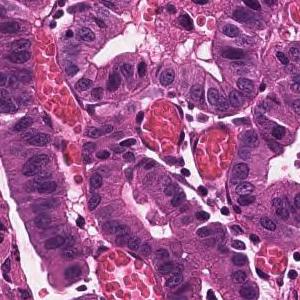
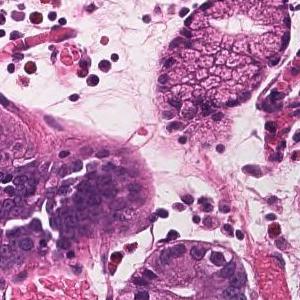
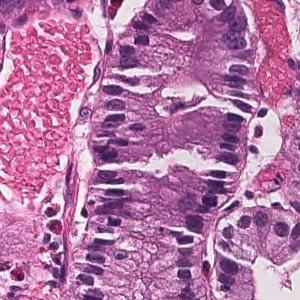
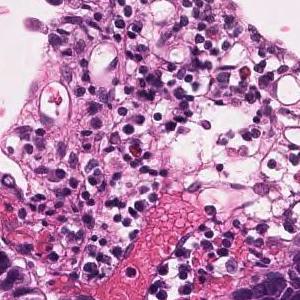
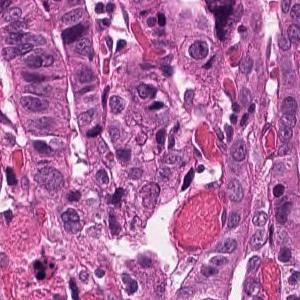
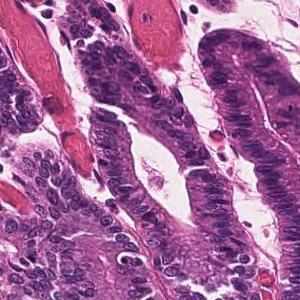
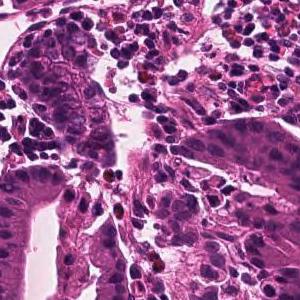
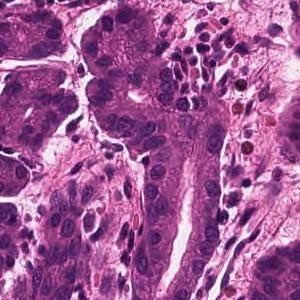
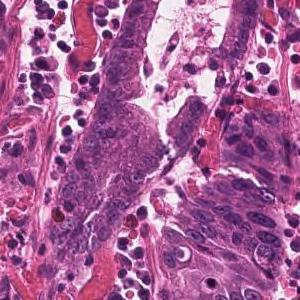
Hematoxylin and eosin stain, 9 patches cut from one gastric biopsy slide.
Diagnostic report for the slide these tiles come from. Both the report and the diagnosis are for the whole slide: these tiles need not show every feature named, and some of the tissue shown may not be tumor.
Infiltrating tumor tissue with medium-sized, irregular ductal structure or large papillary appearance is observed. Well differentiated tubular adenocarcinoma
